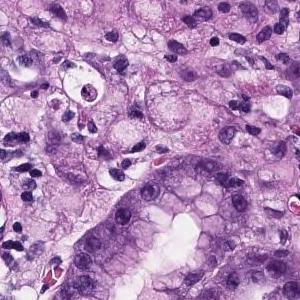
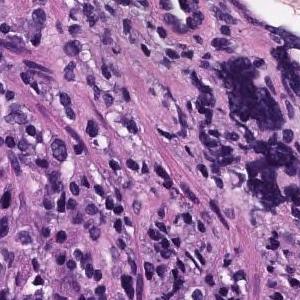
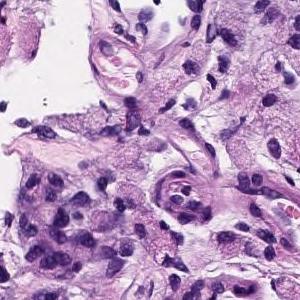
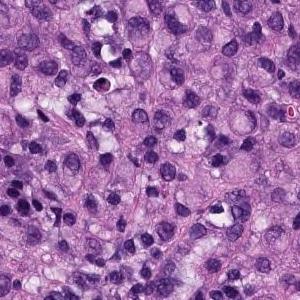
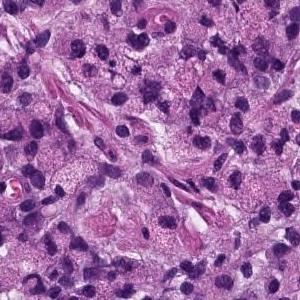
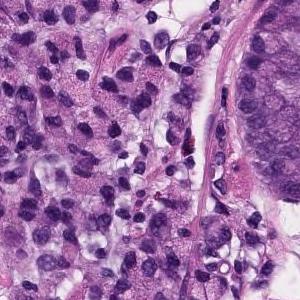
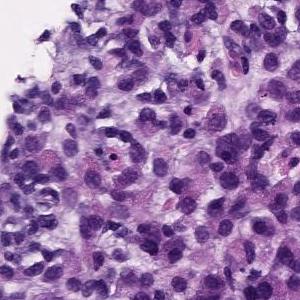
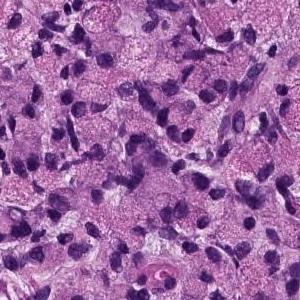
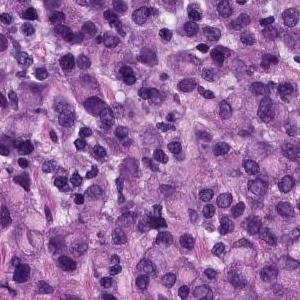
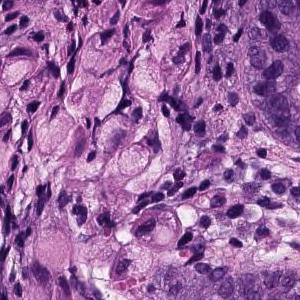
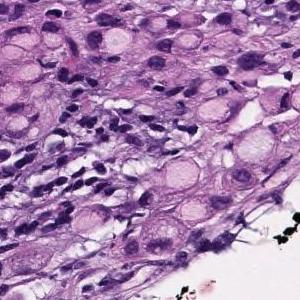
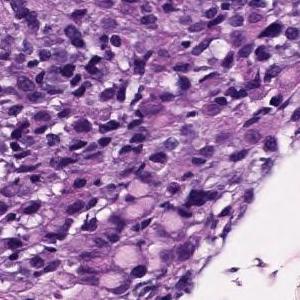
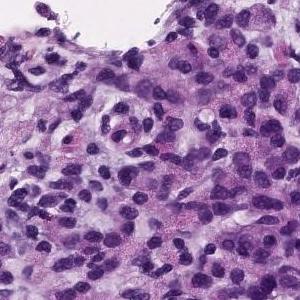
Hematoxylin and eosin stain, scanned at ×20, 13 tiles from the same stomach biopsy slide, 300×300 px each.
Pathology report for the biopsy slide these tiles were cut from. Both the report and the diagnosis are for the whole slide: these tiles need not show every feature named, and some of the tissue shown may not be tumor.
The superficial epithelium shows a large sheet-like shape, and some tumor tissue infiltrates with small irregular ducts. Poorly differentiated adenocarcinoma, solid-type
Histologic type: Poorly differentiated adenocarcinoma, solid type. This name comes from the Japanese Classification of Gastric Carcinoma; the WHO 2019 classification calls it tubular adenocarcinoma, poorly differentiated.
